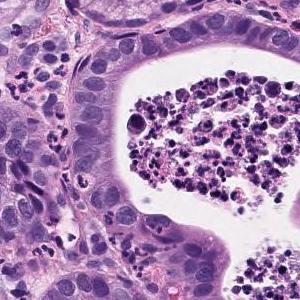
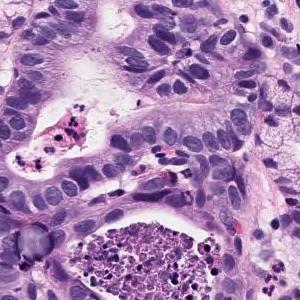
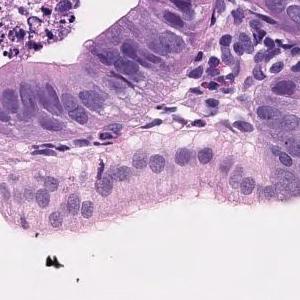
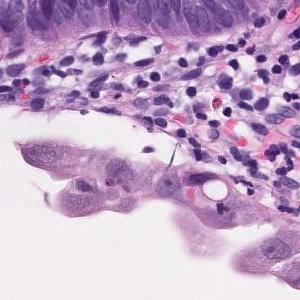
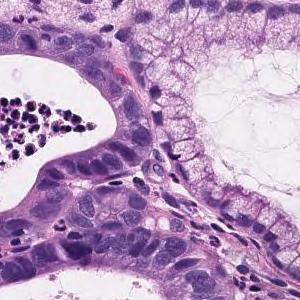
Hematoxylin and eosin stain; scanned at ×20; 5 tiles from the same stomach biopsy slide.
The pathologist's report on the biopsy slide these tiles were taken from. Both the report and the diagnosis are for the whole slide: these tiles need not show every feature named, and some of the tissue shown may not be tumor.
Tumor tissue consisting of proliferative medium to large, round or irregular glandular ducts in the superficial epithelium. Well differentiated adenocarcinoma.
Classified as well differentiated tubular adenocarcinoma.
